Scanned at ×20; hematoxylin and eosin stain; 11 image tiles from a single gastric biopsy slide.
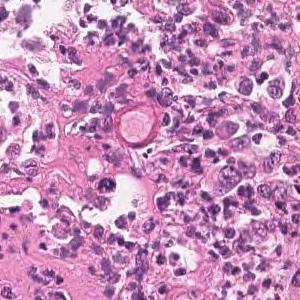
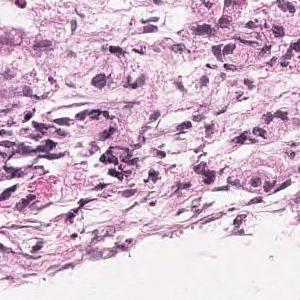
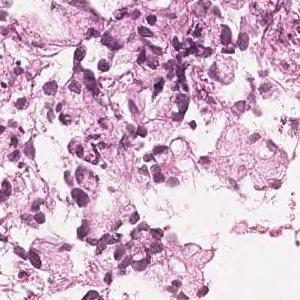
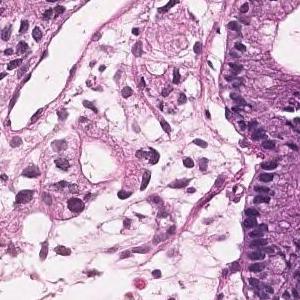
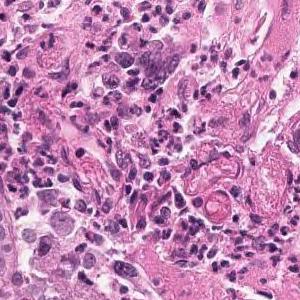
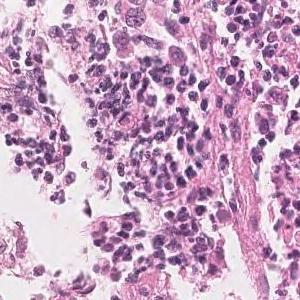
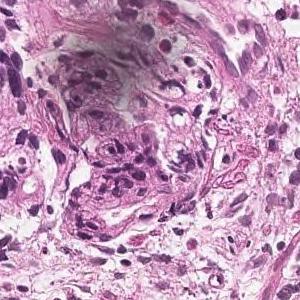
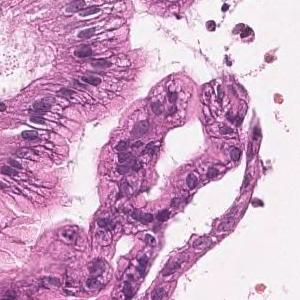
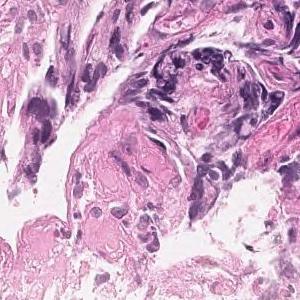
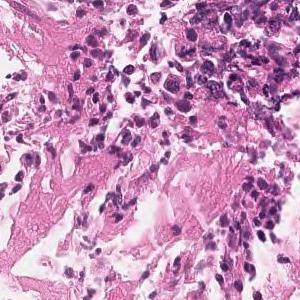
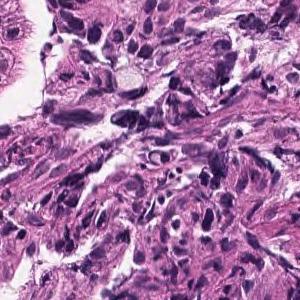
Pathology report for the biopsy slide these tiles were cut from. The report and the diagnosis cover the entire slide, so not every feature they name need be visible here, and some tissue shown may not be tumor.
In the superficial epithelium, medium to small irregular gland ducts are formed, and in some cases, the ducts are fused to show solid alveolar lesions and infiltrating tumor tissue is observed. Moderately to poorly differentiated adenocarcinoma
